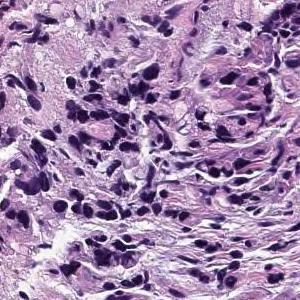
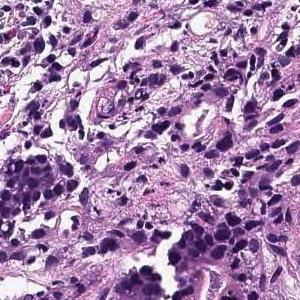
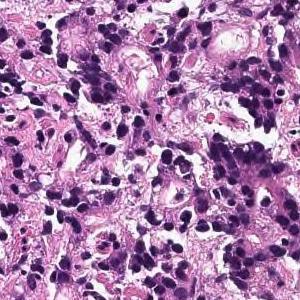
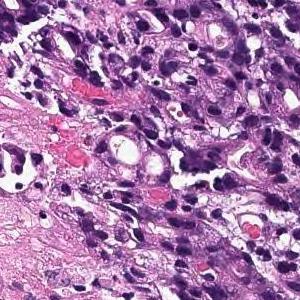
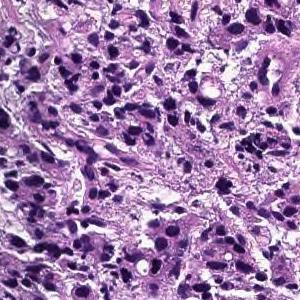
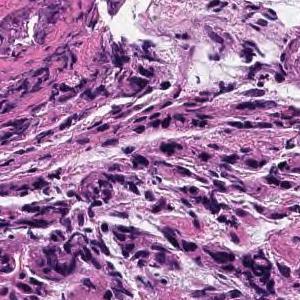
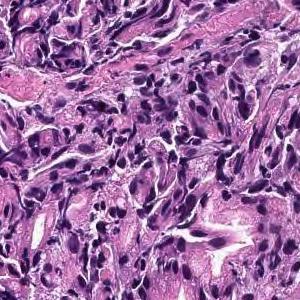
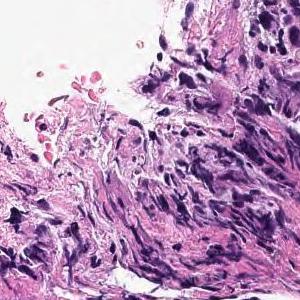
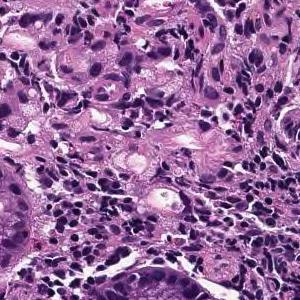
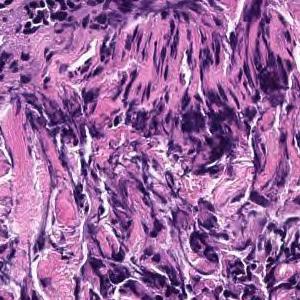
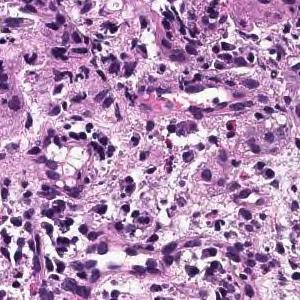
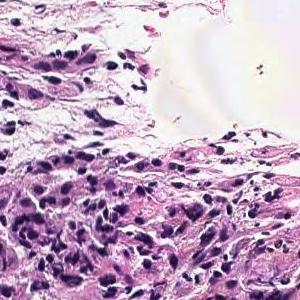
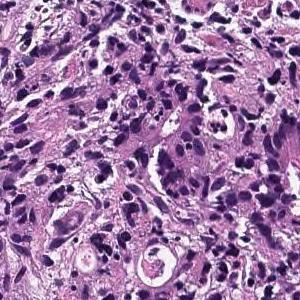
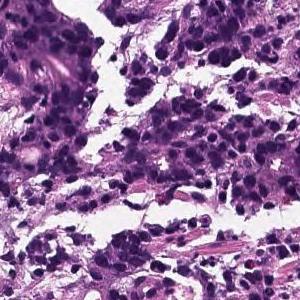
Scanned at ×20, hematoxylin and eosin stain, 14 patches cut from one gastric biopsy slide.
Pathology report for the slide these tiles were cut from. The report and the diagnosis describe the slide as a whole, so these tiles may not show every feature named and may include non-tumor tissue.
Tumor tissue consisting of cord-like or small, irregular glandular ducts fused and infiltrated is observed in the superficial epithelium. Poorly differentiated adenocarcinoma, non-solid type
The term "non-solid type" comes from the Japanese Classification of Gastric Carcinoma.
